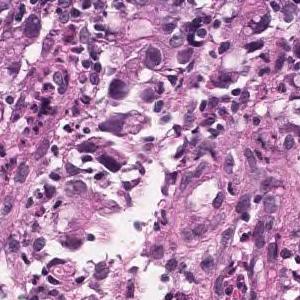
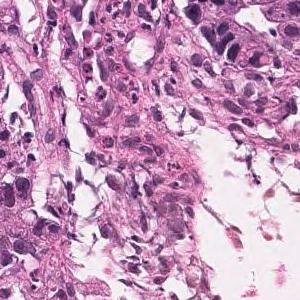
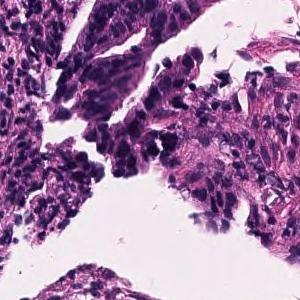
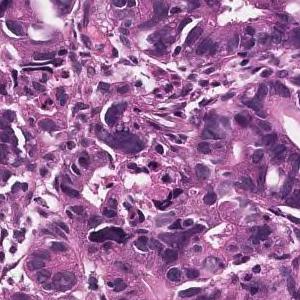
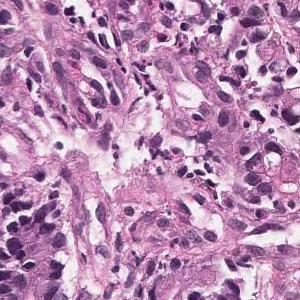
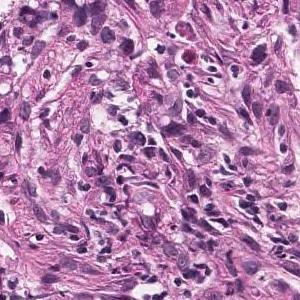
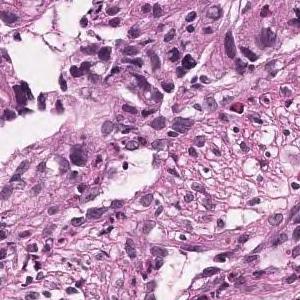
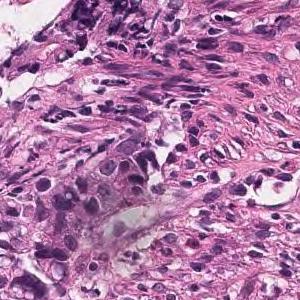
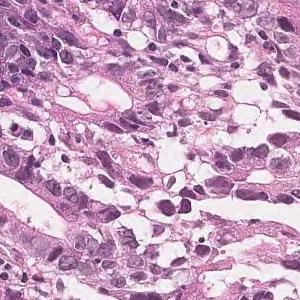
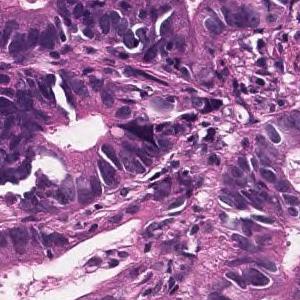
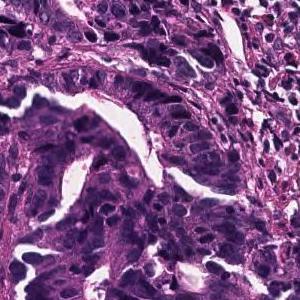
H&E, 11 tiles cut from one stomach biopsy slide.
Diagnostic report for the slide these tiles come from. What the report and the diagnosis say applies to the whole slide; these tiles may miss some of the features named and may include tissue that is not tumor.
In the superficial epithelium, tumor tissue is found in which medium-sized irregular gland ducts fuse with each other and infiltrate. moderately differentiated tubular adenocarcinoma
